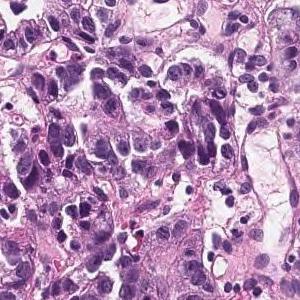
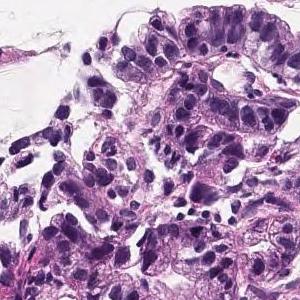
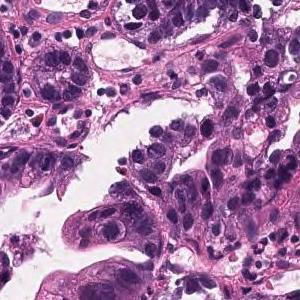
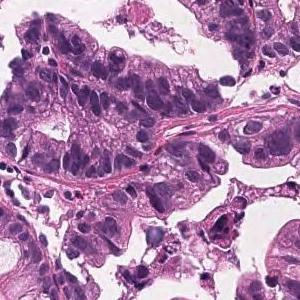
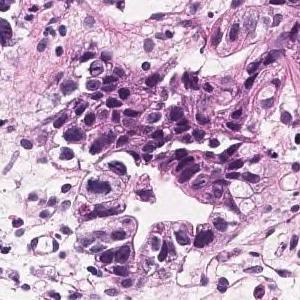
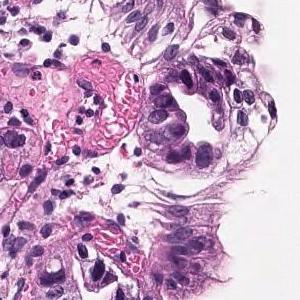
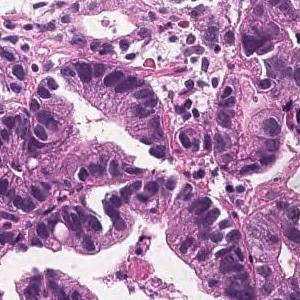
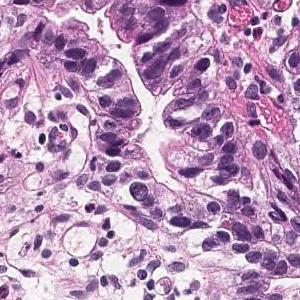
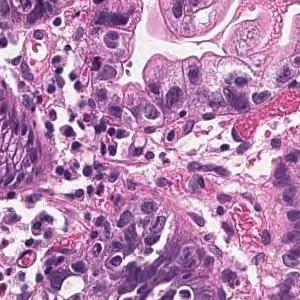
H&E; 9 patches cut from one gastric biopsy slide; each 300 × 300 pixels.
Pathology report for the slide these tiles were cut from. Both the report and the diagnosis are for the whole slide: these tiles need not show every feature named, and some of the tissue shown may not be tumor.
Atypical epithelium showing nuclear enlargement builds irregular ducts and grows densely. moderately differentiated tubular adenocarcinoma
